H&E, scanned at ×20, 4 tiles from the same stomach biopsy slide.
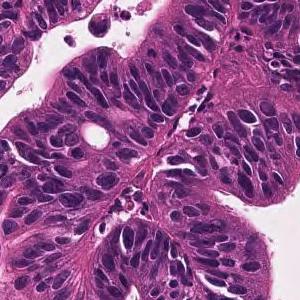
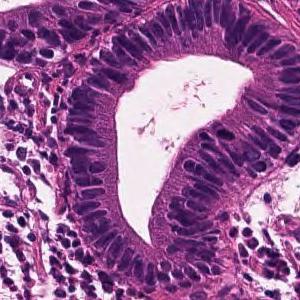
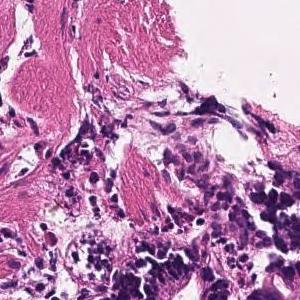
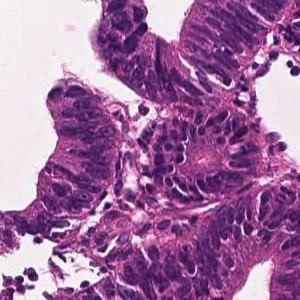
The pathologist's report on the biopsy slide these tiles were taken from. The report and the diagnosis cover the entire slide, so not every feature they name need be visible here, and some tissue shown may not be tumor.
A large irregular tubular structure is exhibited in the epithelium, and tumor tissue that partially fuses and infiltrates and proliferates is observed. Large columnar tumor cells exhibit enlarged nucleus, hyperchromatism, and mitotic figures. Well differentiated tubular adenocarcinoma
